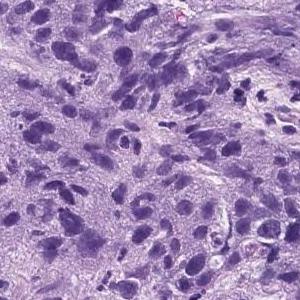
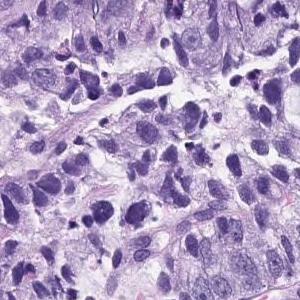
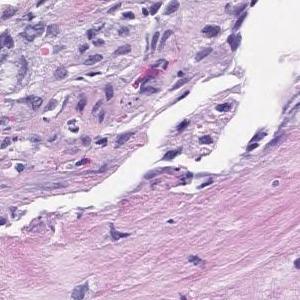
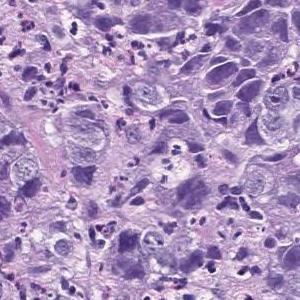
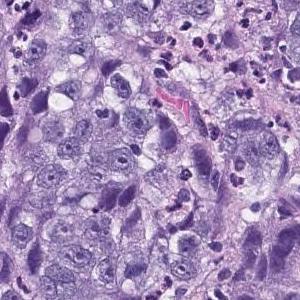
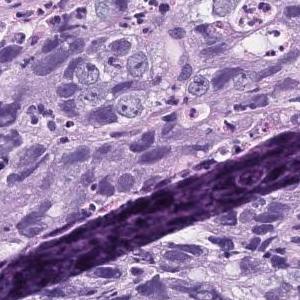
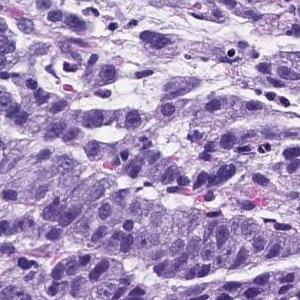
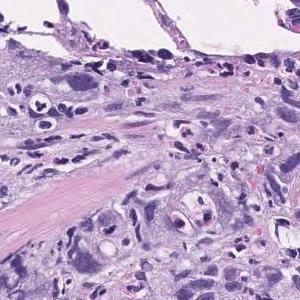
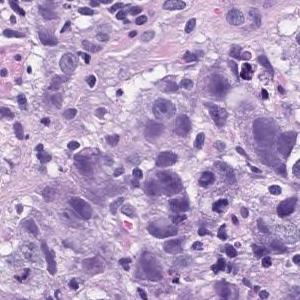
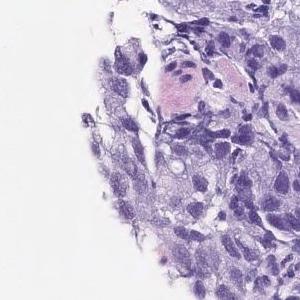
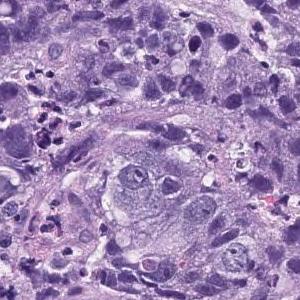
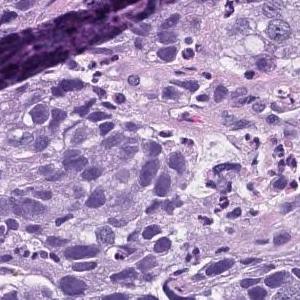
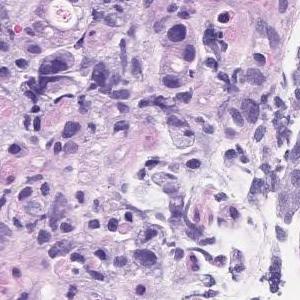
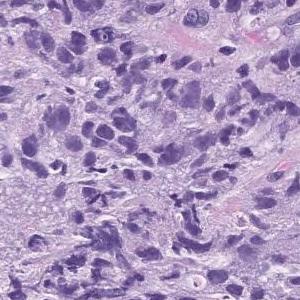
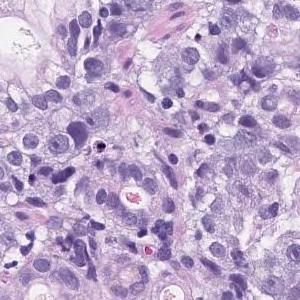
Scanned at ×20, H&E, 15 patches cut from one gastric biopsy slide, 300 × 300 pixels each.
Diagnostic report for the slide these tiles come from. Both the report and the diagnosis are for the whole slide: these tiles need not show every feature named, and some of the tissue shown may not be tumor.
Atypical l cells with atypical nuclei forming solid vesicles or small irregular atypical ducts that proliferate in a complex manner. poorly differentiated adenocarcinoma, solid type, moderately differentiated tubular adenocarcinoma
The solid type named here is a Japanese Classification of Gastric Carcinoma category; WHO 2019 calls it tubular adenocarcinoma, poorly differentiated.
